8 image tiles from a single gastric biopsy slide · H&E stain.
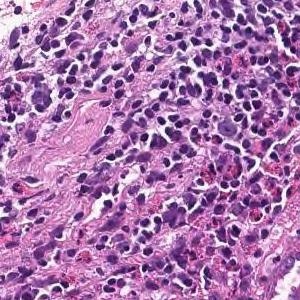
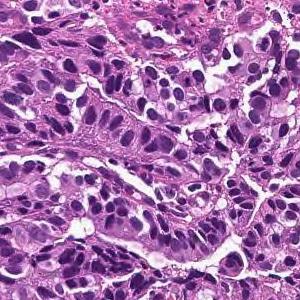
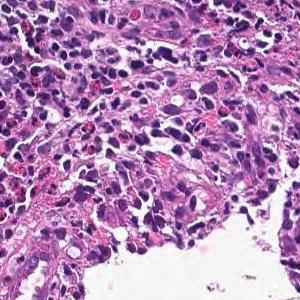
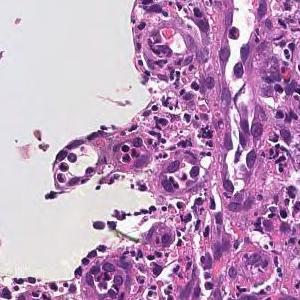
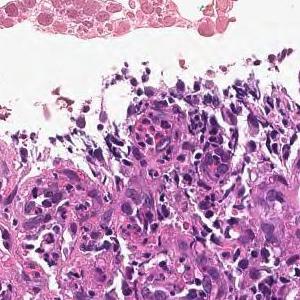
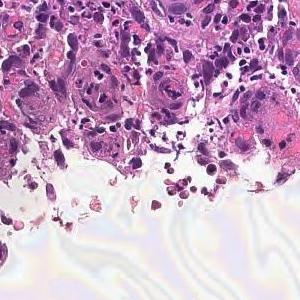
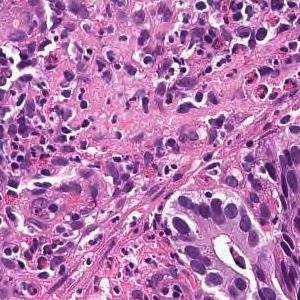
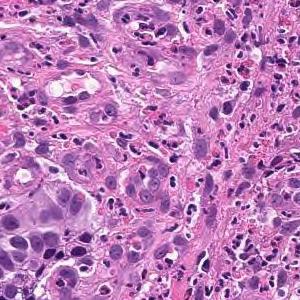
The pathologist's report on the biopsy slide these tiles were taken from. Both the report and the diagnosis are for the whole slide: these tiles need not show every feature named, and some of the tissue shown may not be tumor.
On the superficial epithelium, tumor tissue consisting of large irregular glandular ducts partially fused and infiltrated is observed. Well to moderately differentiated tubular adenocarcinoma (well differentiated tubular adenocarcinoma, moderately differentiated tubular adenocarcinoma)
Classified as well to moderately differentiated tubular adenocarcinoma.
